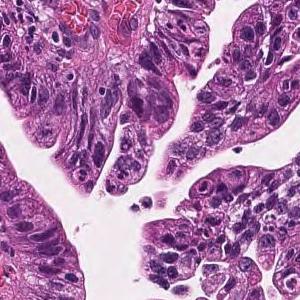
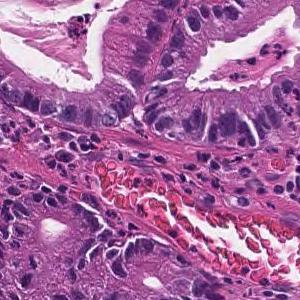
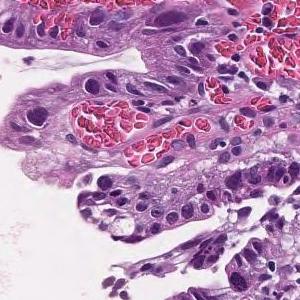
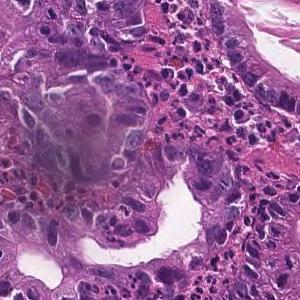
20× magnification; H&E; 4 tiles cut from one stomach biopsy slide; 300 × 300 pixels each.
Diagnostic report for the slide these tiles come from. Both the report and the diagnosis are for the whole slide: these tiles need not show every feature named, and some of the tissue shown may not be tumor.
Tumor cells are large, highly columnar, large club-shaped nuclei, and are associated with chromatin aggregation. Papillary adenocarcinoma.
